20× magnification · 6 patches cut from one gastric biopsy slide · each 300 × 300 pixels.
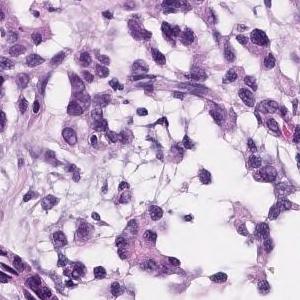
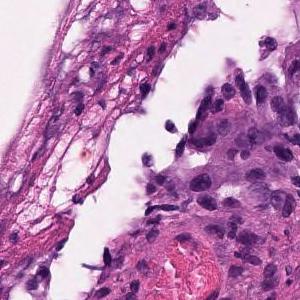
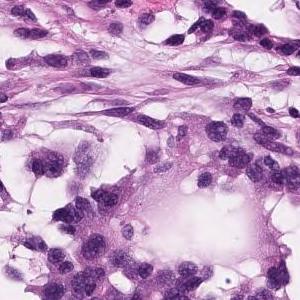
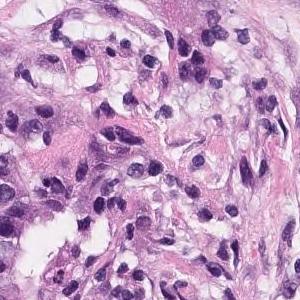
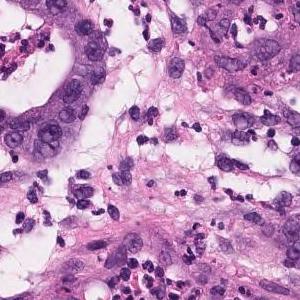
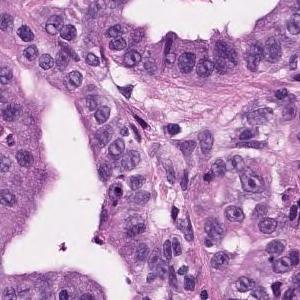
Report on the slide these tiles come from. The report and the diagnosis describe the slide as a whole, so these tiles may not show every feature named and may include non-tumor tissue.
In the superficial epithelium, tumor tissue that invades by forming medium-sized to small, irregular ducts is observed. Moderately differentiated adenocarcinoma.
Histologic type: Moderately differentiated tubular adenocarcinoma.
